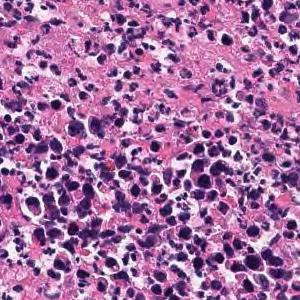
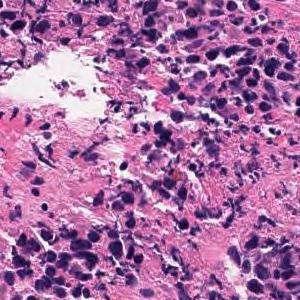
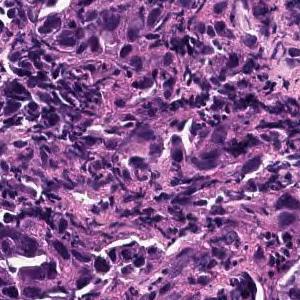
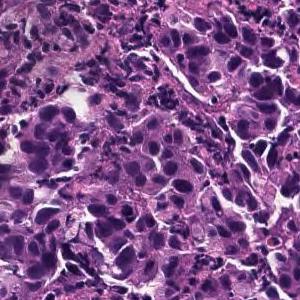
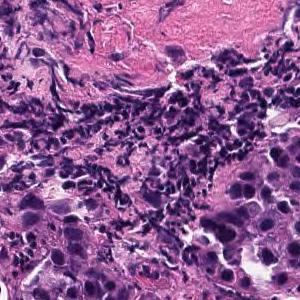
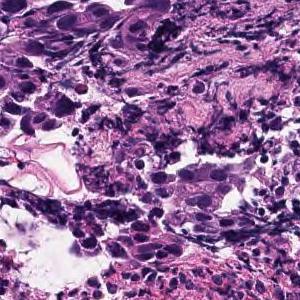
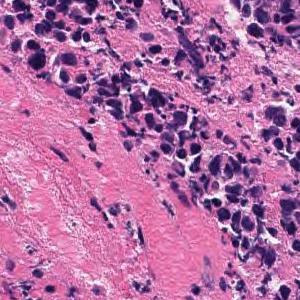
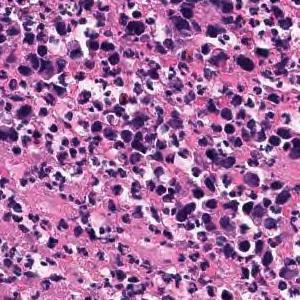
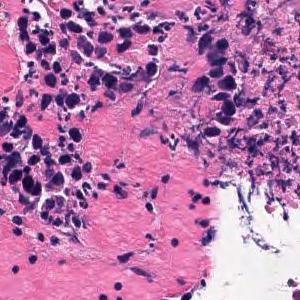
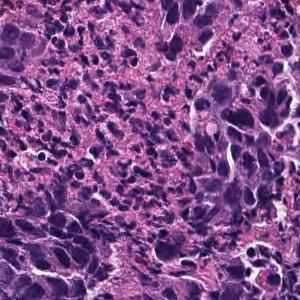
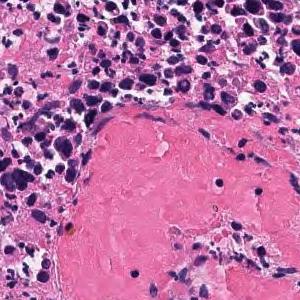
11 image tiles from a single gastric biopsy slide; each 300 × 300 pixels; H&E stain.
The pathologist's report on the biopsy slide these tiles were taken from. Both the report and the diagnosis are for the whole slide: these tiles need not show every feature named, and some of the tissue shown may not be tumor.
In the superficial epithelium, tumor tissue that invades by forming medium-sized to small, irregular ducts is observed. Tumor cells are columnar or cuboidal in shape. Moderately differentiated adenocarcinoma.
Histologic type: Moderately differentiated tubular adenocarcinoma.
